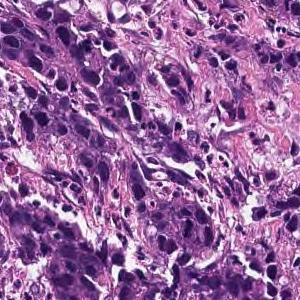
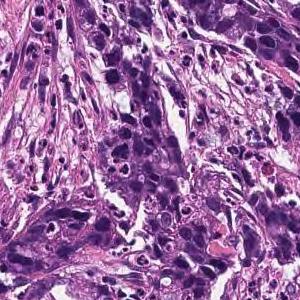
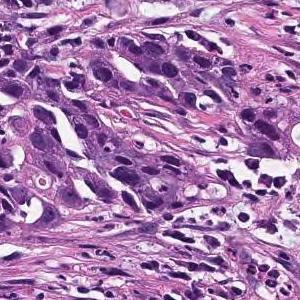
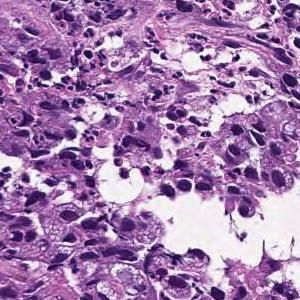
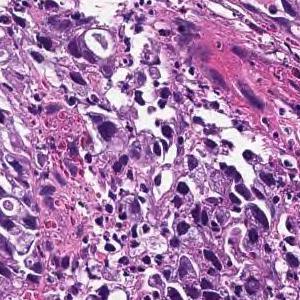
H&E · 5 tiles from the same stomach biopsy slide · each 300 × 300 pixels.
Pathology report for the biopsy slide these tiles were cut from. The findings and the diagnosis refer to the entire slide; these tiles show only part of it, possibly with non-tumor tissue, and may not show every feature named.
Medium to small, irregular glandular ducts are formed in the superficial epithelium, and in some cases, the glandular ducts are fused to show solid alveolar lesions and infiltrating tumor tissue is observed. Moderately to poorly differentiated adenocarcinoma.
